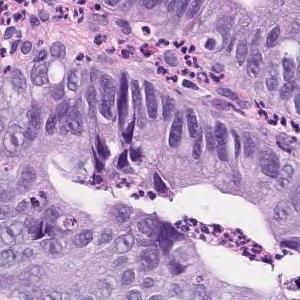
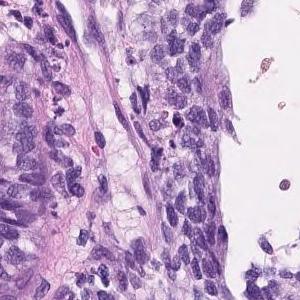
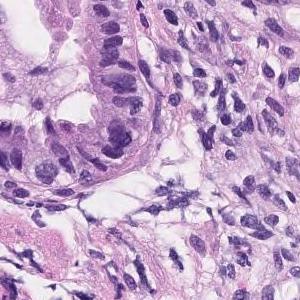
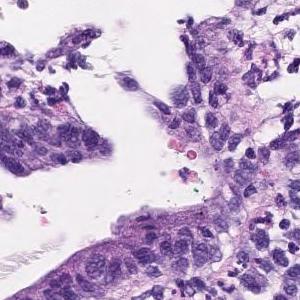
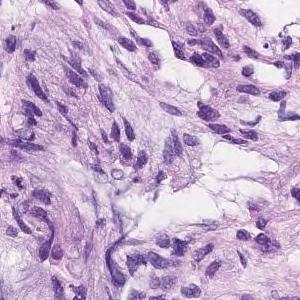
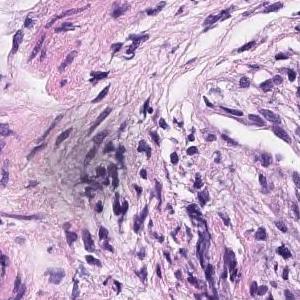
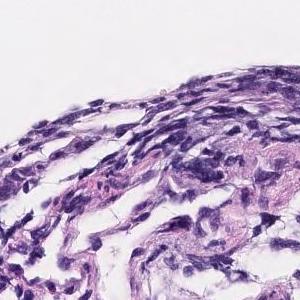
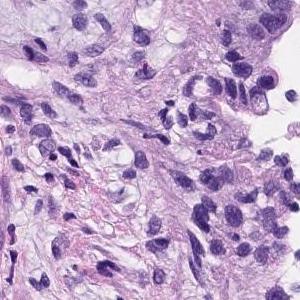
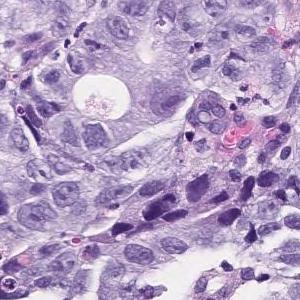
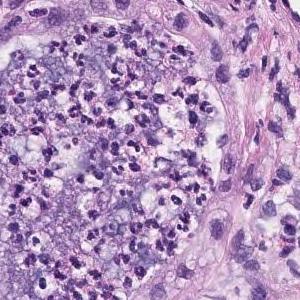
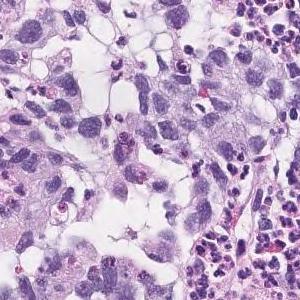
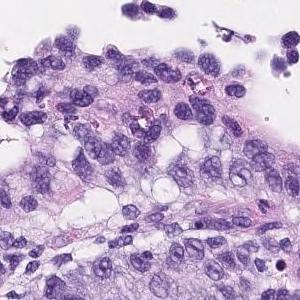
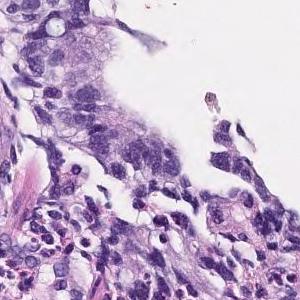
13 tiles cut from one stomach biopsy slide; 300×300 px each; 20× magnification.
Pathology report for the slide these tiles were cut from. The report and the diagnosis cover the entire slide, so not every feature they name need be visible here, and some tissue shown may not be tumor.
Tumor cells are large, highly columnar, large club-shaped nuclei, and are associated with chromatin aggregation. Papillary adenocarcinoma.
